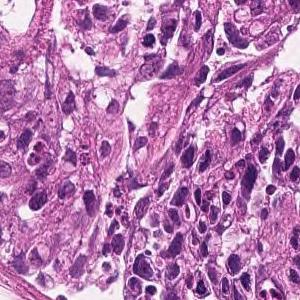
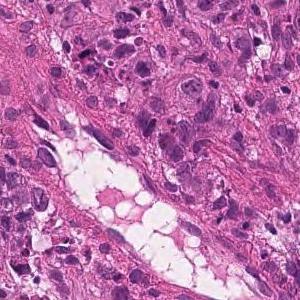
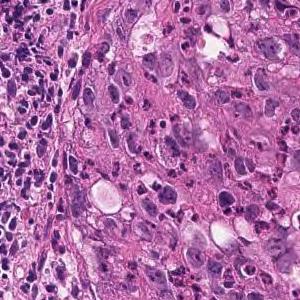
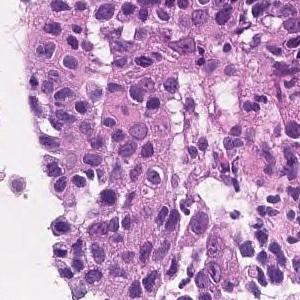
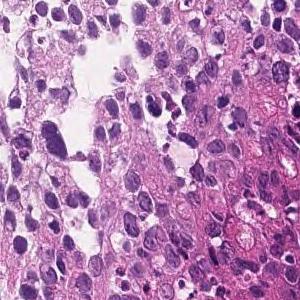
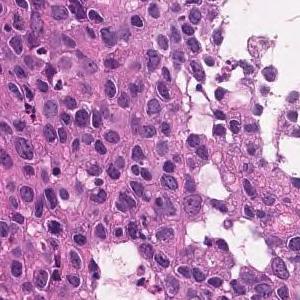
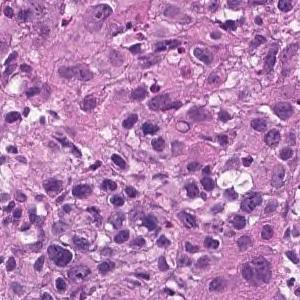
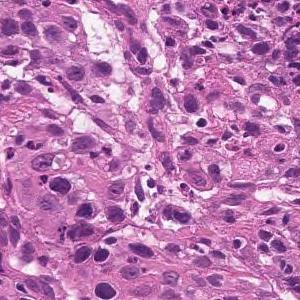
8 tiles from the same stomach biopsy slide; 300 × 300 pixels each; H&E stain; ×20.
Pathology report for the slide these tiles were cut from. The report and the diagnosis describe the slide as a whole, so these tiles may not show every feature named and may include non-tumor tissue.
The superficial epithelium shows a large sheet-like shape, and some tumor tissue infiltrates with small irregular ducts. Poorly differentiated adenocarcinoma, solid-type
Histological subtype: Poorly differentiated adenocarcinoma, solid type. This name comes from the Japanese Classification of Gastric Carcinoma; the WHO 2019 classification calls it tubular adenocarcinoma, poorly differentiated.
